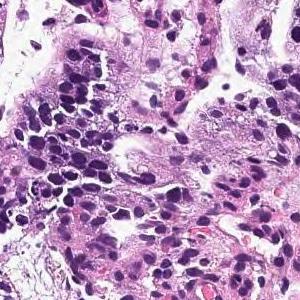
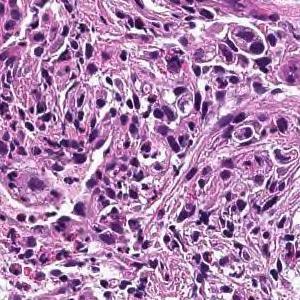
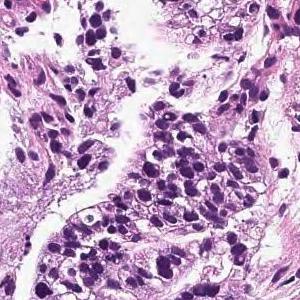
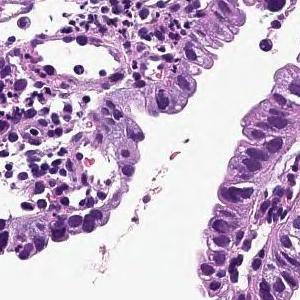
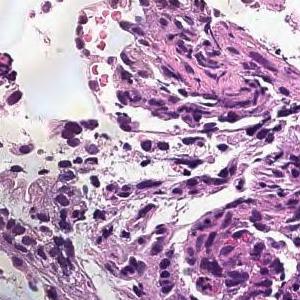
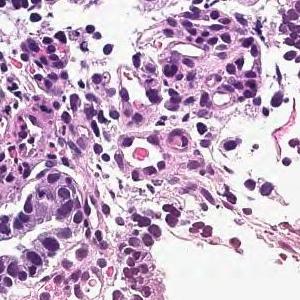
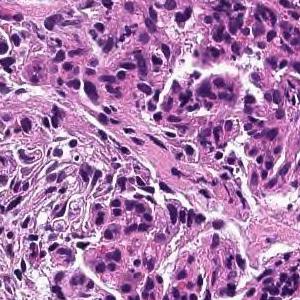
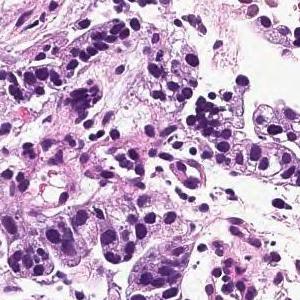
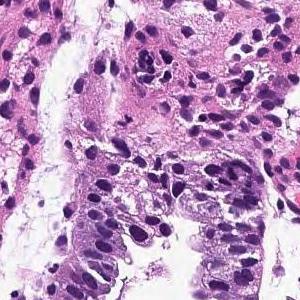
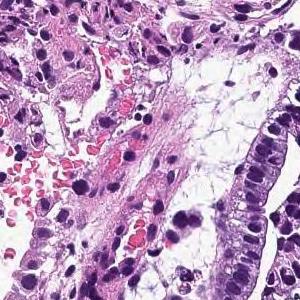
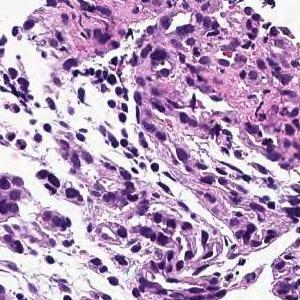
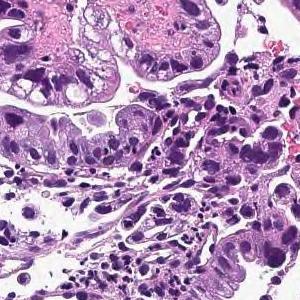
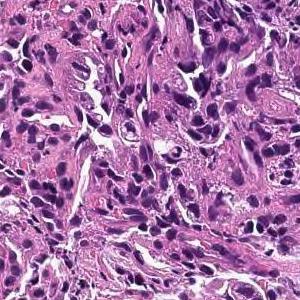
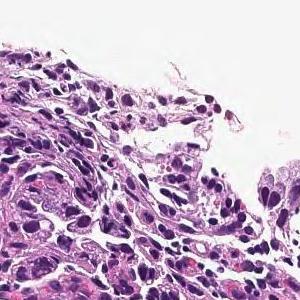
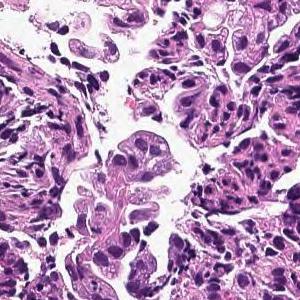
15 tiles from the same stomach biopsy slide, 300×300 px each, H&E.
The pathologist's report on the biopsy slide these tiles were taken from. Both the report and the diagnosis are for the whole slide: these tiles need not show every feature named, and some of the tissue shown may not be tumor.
On the superficial epithelium, tumor tissue that infiltrates by forming medium-sized papillary or small irregular ducts is observed. Papillary adenocarcinoma
